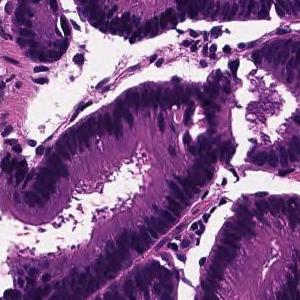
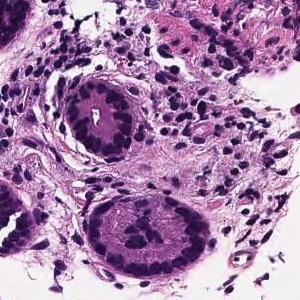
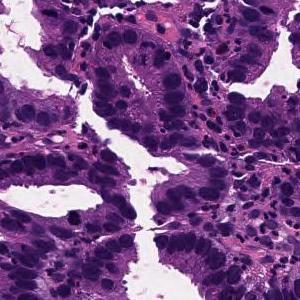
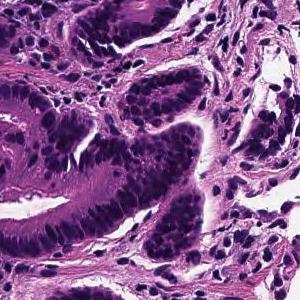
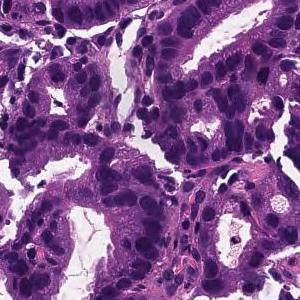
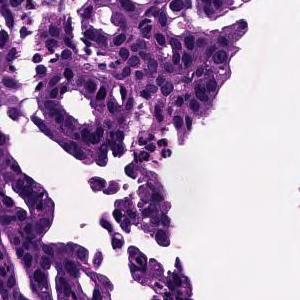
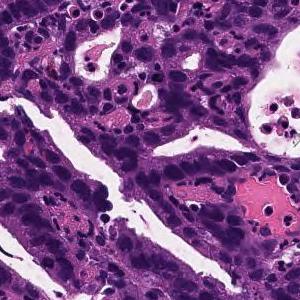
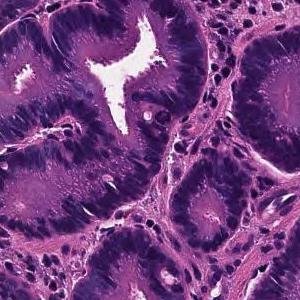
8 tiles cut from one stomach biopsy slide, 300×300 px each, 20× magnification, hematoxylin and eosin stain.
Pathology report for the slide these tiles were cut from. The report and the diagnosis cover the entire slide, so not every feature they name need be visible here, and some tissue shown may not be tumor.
On the superficial epithelium, tumor tissue is found in which medium-sized irregular gland ducts fuse with each other and infiltrate. moderately differentiated tubular adenocarcinoma
